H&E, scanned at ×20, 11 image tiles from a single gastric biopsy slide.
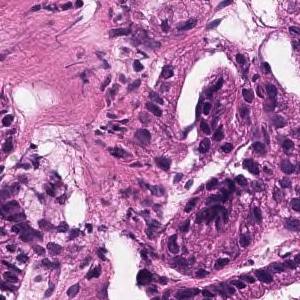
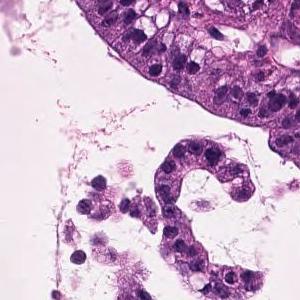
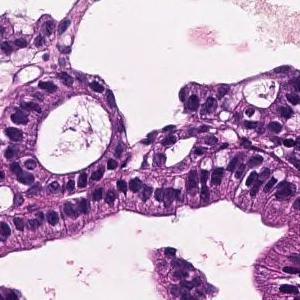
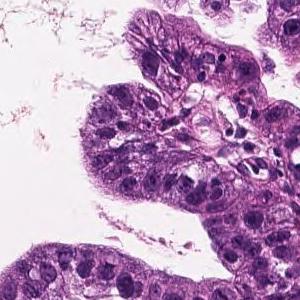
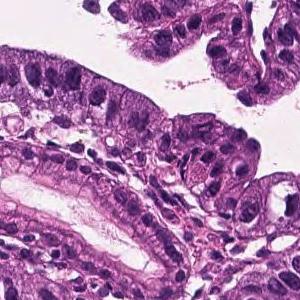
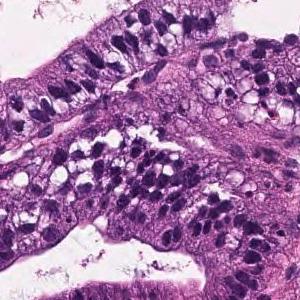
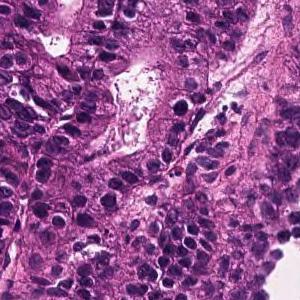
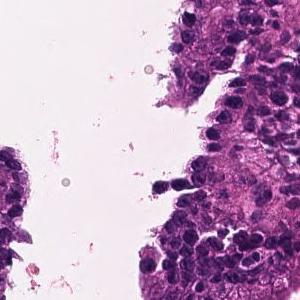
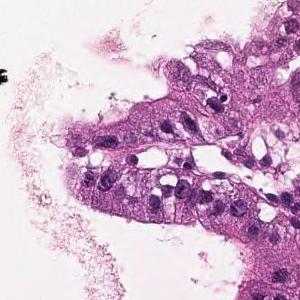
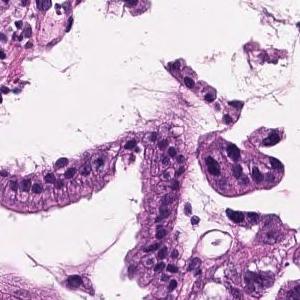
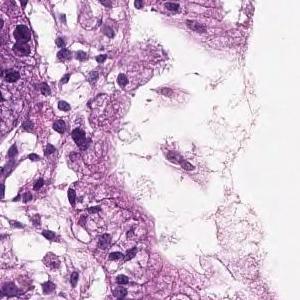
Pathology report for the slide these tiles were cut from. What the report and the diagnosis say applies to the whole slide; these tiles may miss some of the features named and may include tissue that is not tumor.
On the superficial epithelium, tumor tissue that infiltrates by forming medium-sized papillary or small irregular ducts is observed. Papillary adenocarcinoma
